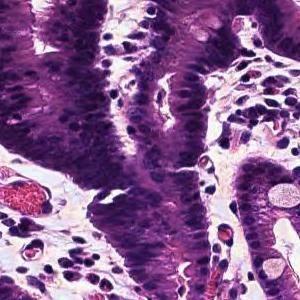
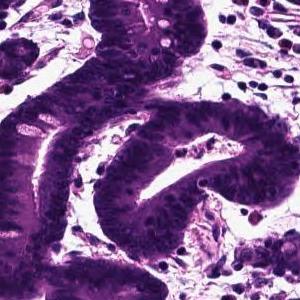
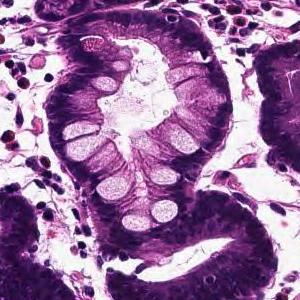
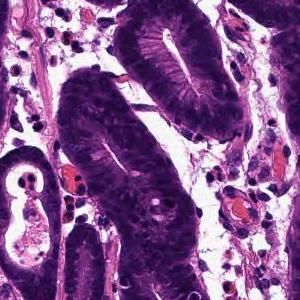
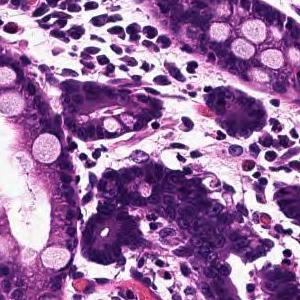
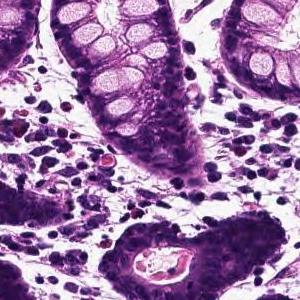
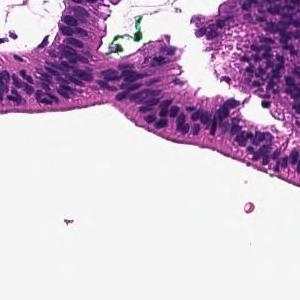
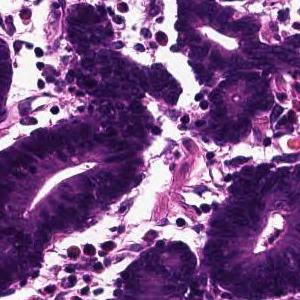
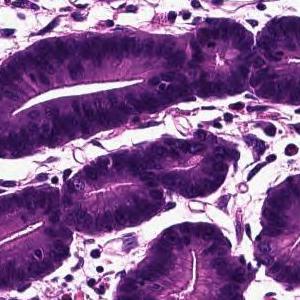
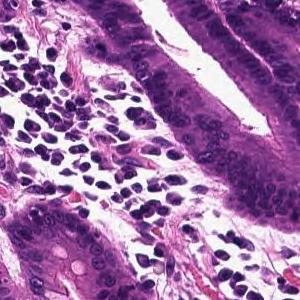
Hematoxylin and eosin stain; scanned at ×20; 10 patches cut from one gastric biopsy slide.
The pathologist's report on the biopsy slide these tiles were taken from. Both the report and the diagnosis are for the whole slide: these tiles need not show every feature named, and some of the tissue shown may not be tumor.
Tumor tissue that infiltrates by forming large papillary or large irregular glandular ducts is observed confined to the mucosa. Papillary adenocarcinoma
